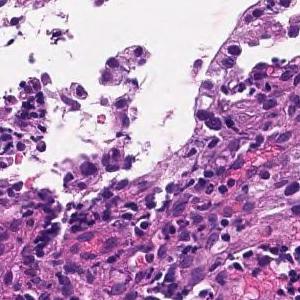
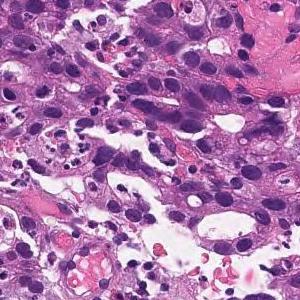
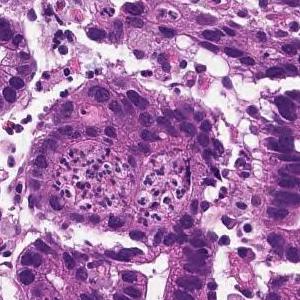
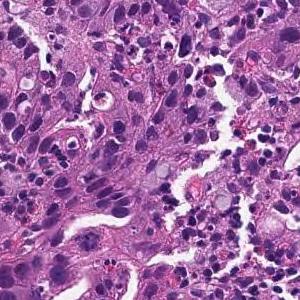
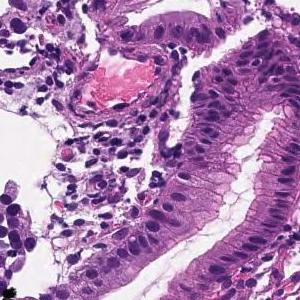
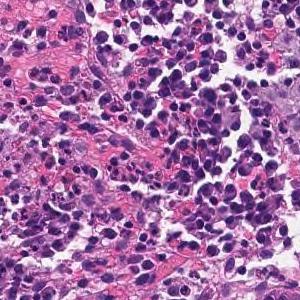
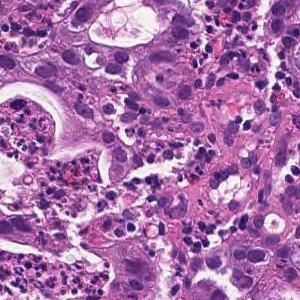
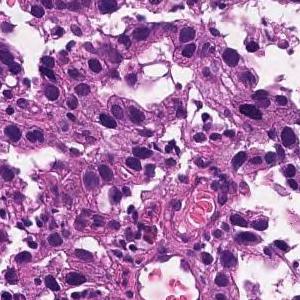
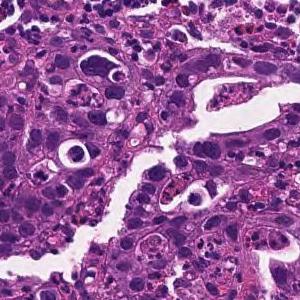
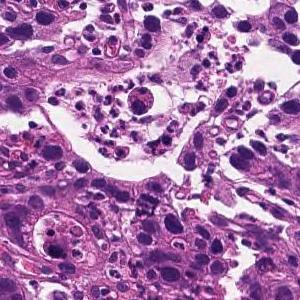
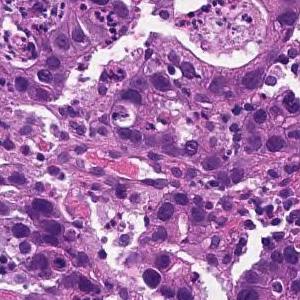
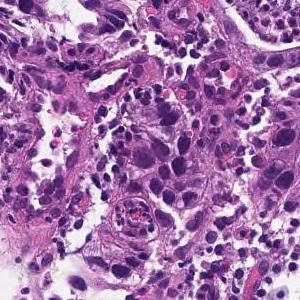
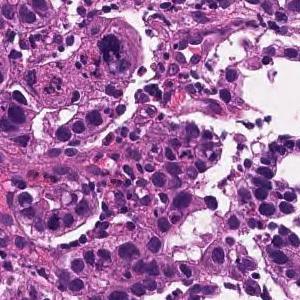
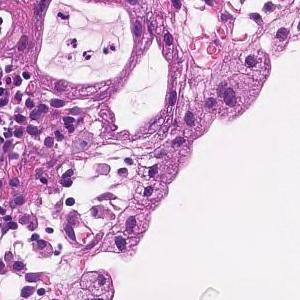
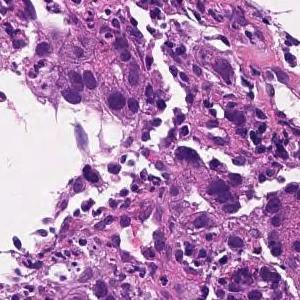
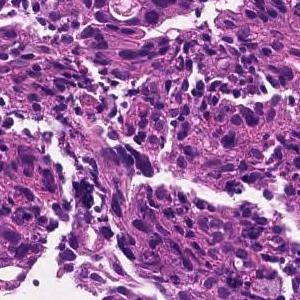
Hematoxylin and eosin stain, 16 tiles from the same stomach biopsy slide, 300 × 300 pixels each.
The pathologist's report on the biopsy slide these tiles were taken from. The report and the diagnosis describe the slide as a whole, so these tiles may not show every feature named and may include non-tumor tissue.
Medium to small, irregular glandular ducts are formed in the superficial epithelium, and in some cases, the glandular ducts are fused to show solid alveolar lesions and infiltrating tumor tissue is observed. Moderately to poorly differentiated adenocarcinoma.
